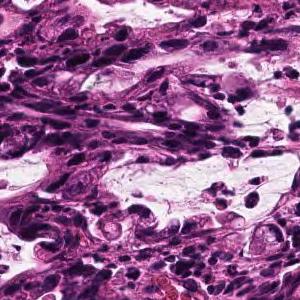
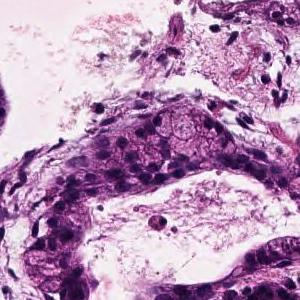
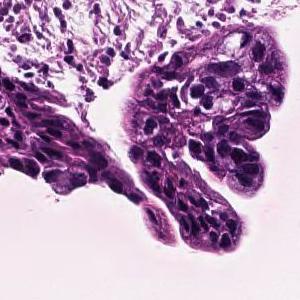
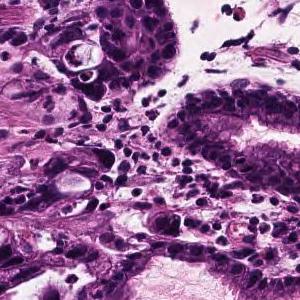
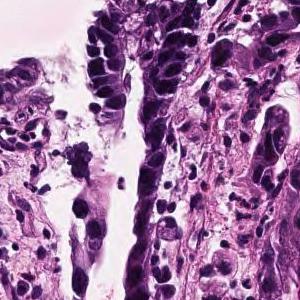
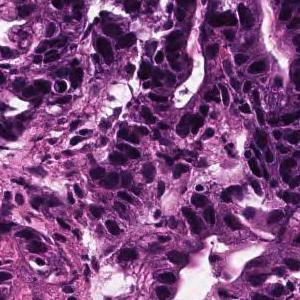
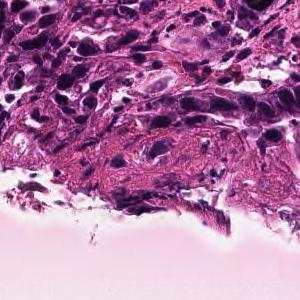
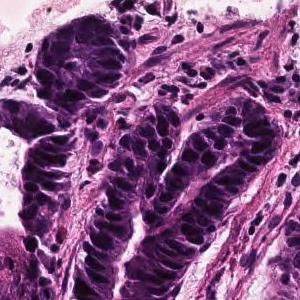
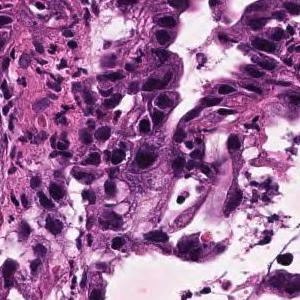
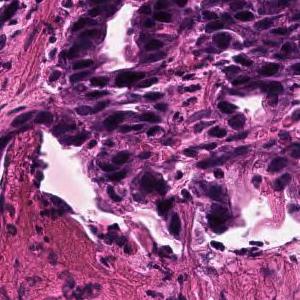
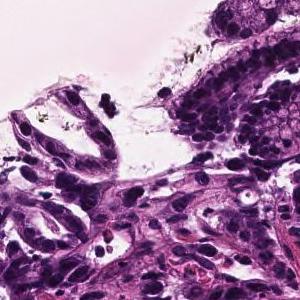
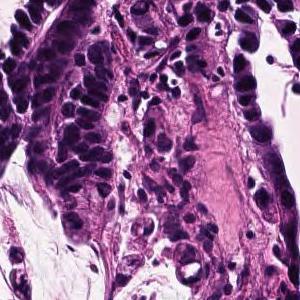
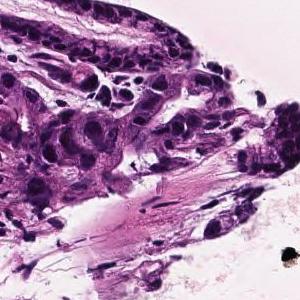
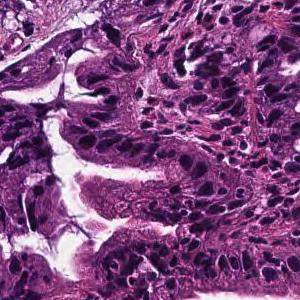
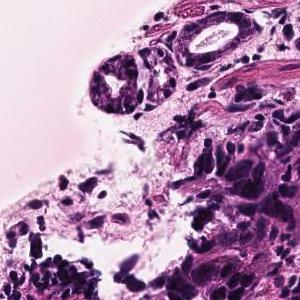
Hematoxylin and eosin stain; ×20; 15 patches cut from one gastric biopsy slide.
The pathologist's report on the biopsy slide these tiles were taken from. What the report and the diagnosis say applies to the whole slide; these tiles may miss some of the features named and may include tissue that is not tumor.
In the superficial epithelium, tumor tissue that invades by forming medium-sized to small, irregular ducts is observed. moderately differentiated tubular adenocarcinoma.
